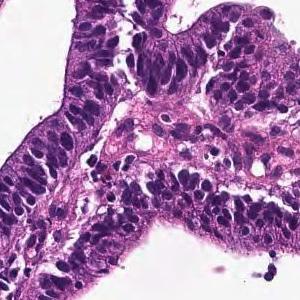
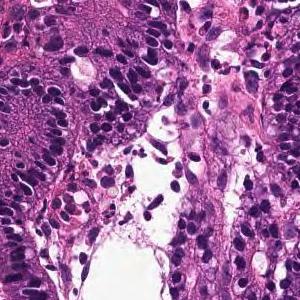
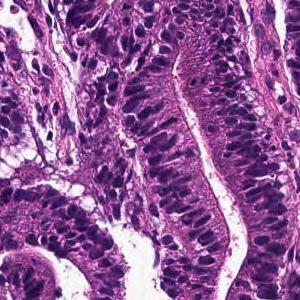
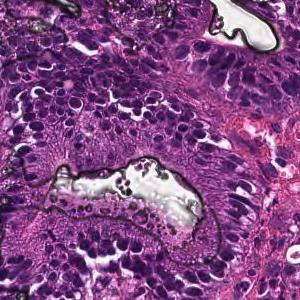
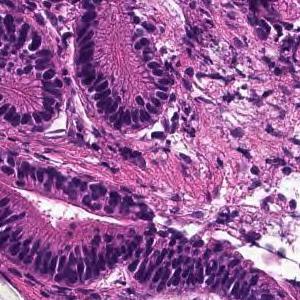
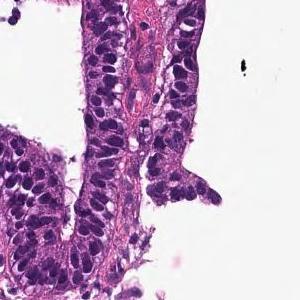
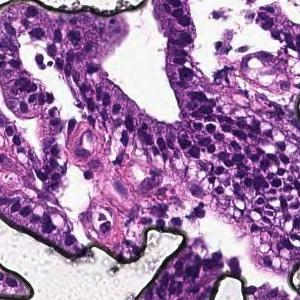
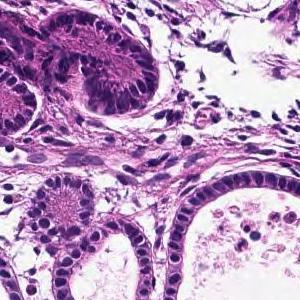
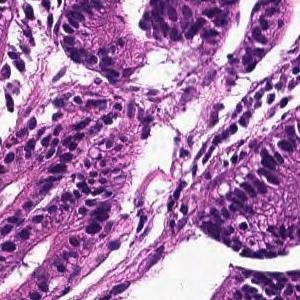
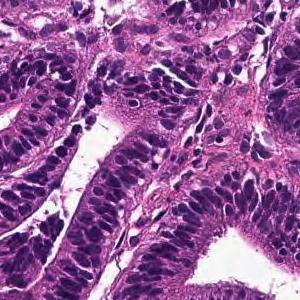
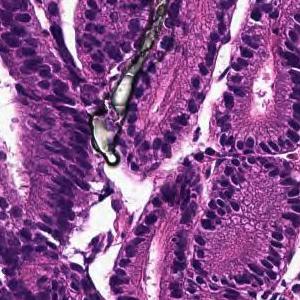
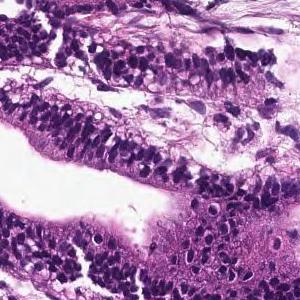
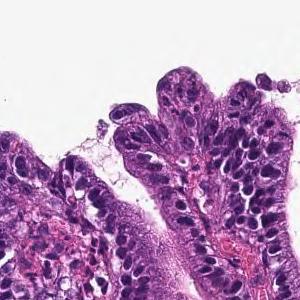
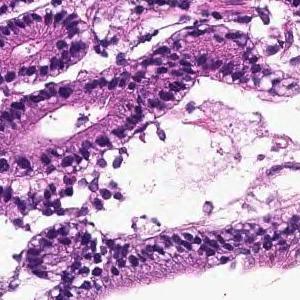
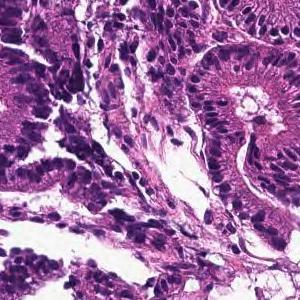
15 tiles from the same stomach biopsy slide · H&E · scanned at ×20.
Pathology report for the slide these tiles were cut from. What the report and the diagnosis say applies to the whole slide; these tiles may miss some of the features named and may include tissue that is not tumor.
On the superficial epithelium, tumor tissue that infiltrates by forming medium-sized round or small irregular ducts is observed. Papillary adenocarcinoma
